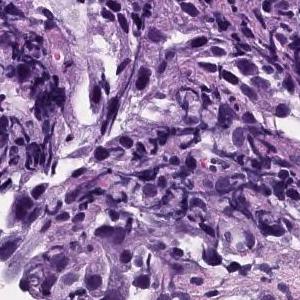
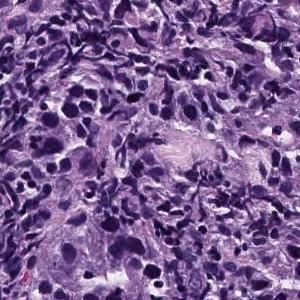
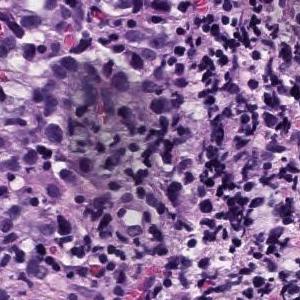
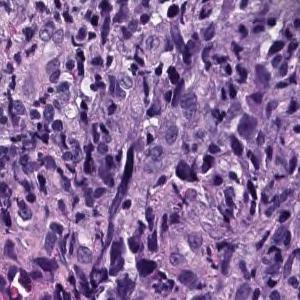
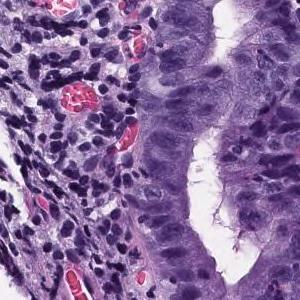
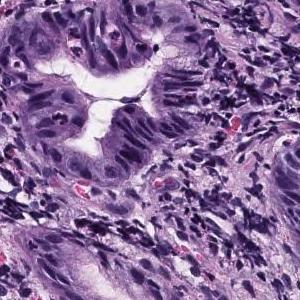
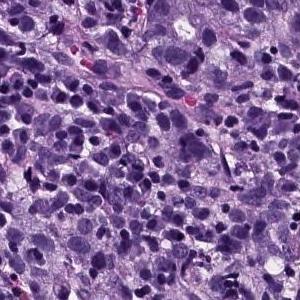
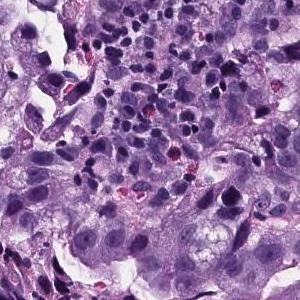
H&E stain · 8 tiles from the same stomach biopsy slide · 300×300 px each.
Diagnostic report for the slide these tiles come from. The report and the diagnosis describe the slide as a whole, so these tiles may not show every feature named and may include non-tumor tissue.
Atypical epithelial cells infiltrating and proliferating while forming solid or cord-like fused glandular cavities of different sizes is observed. moderately differentiated tubular adenocarcinoma, poorly differentiated adenocarcinoma.
Histologic type: Moderately to poorly differentiated adenocarcinoma.
